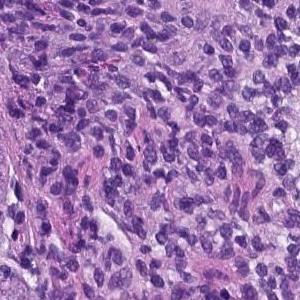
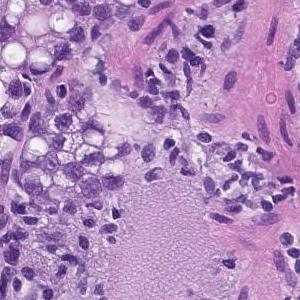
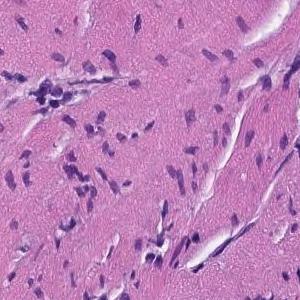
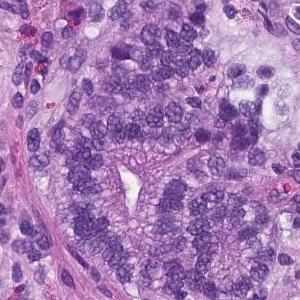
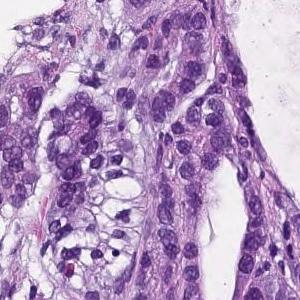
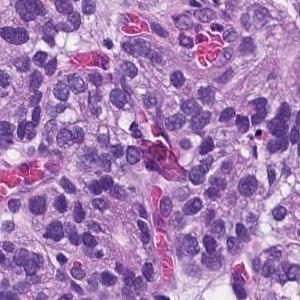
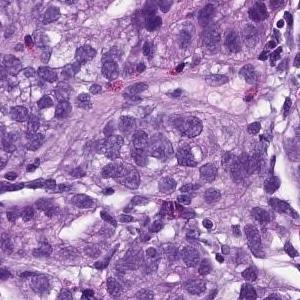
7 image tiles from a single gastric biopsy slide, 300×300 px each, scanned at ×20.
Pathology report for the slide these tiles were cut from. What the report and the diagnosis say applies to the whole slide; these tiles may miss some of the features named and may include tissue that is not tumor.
From the superficial epithelium to the muscularis mucosae, tumor tissue consisting of medium-sized and irregular glandular ducts infiltrating is observed. Well differentiated tubular adenocarcinoma
